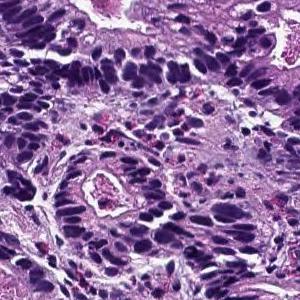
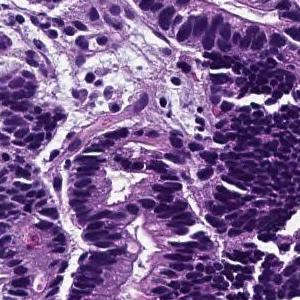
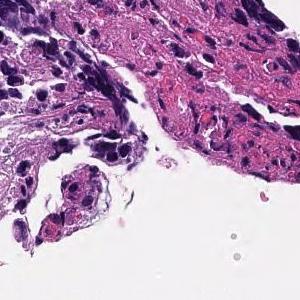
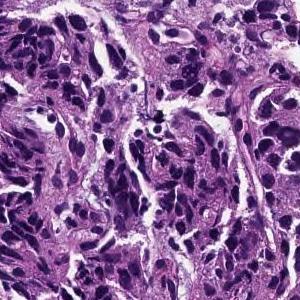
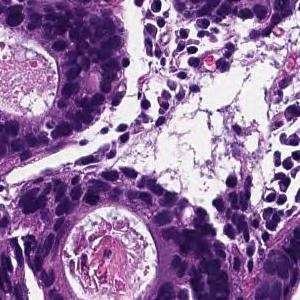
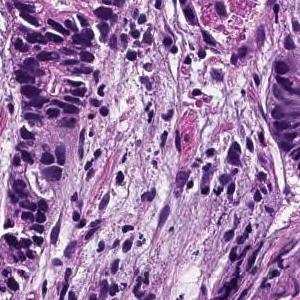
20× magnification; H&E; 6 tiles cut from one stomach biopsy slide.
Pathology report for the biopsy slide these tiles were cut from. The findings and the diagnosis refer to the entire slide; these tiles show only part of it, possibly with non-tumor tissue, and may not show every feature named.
From the superficial epithelium to the muscularis mucosae, tumor tissue consisting of medium-sized and irregular glandular ducts infiltrating is observed. Well differentiated tubular adenocarcinoma
